5 tiles cut from one stomach biopsy slide; 300×300 px each; scanned at ×20; hematoxylin and eosin stain.
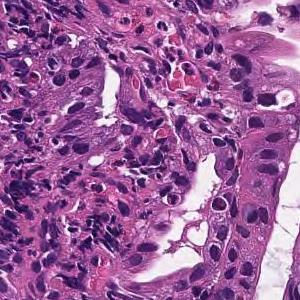
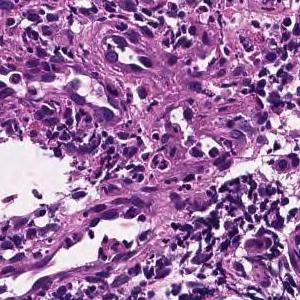
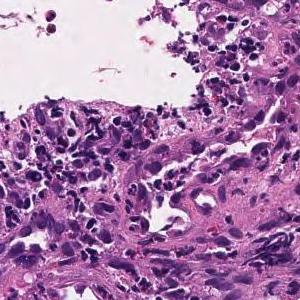
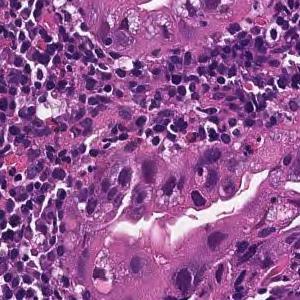
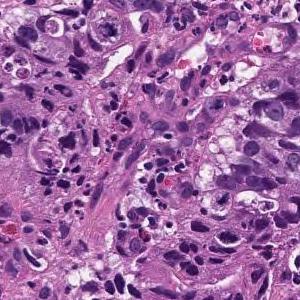
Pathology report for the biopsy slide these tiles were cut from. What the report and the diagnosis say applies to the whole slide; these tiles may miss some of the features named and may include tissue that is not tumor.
In the superficial epithelium, tumor tissue that invades by forming medium-sized to small, irregular ducts is observed. moderately differentiated tubular adenocarcinoma.
